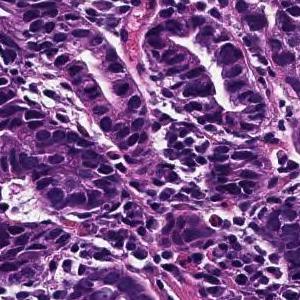
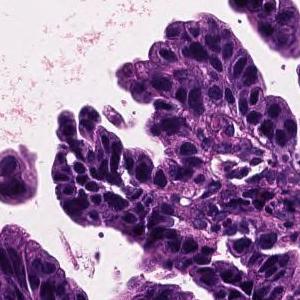
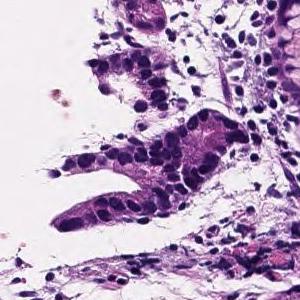
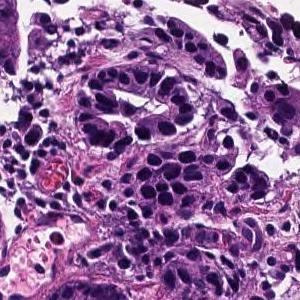
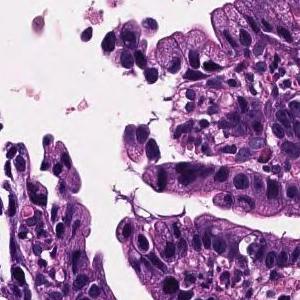
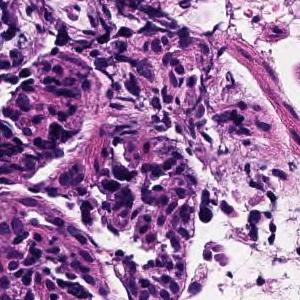
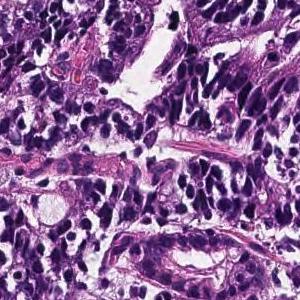
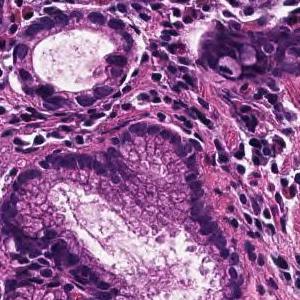
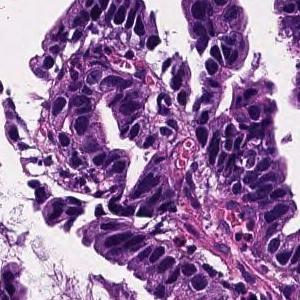
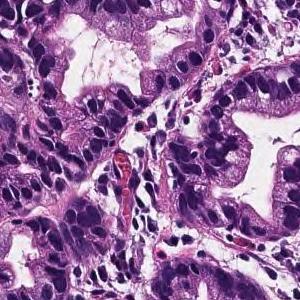
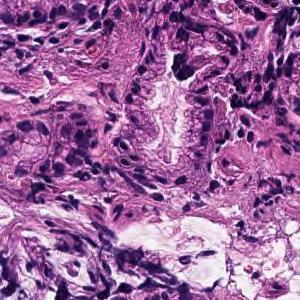
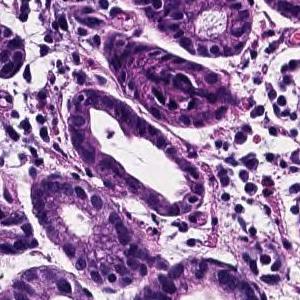
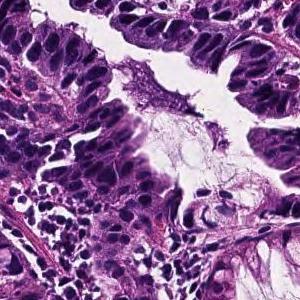
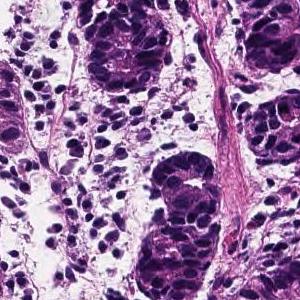
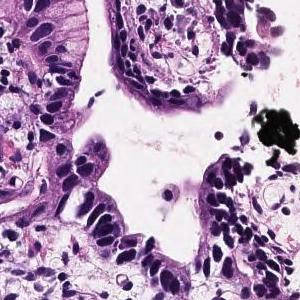
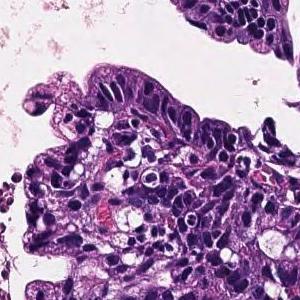
×20; hematoxylin and eosin stain; 16 patches cut from one gastric biopsy slide; each 300 × 300 pixels.
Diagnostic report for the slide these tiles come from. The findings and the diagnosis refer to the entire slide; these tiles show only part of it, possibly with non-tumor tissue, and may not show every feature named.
Tumor cells are large, highly columnar, large club-shaped nuclei, and are associated with chromatin aggregation. Papillary adenocarcinoma.
